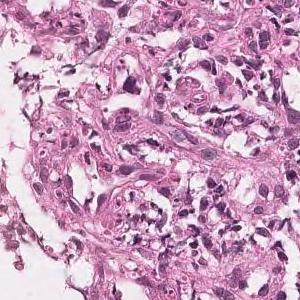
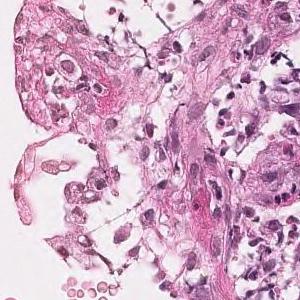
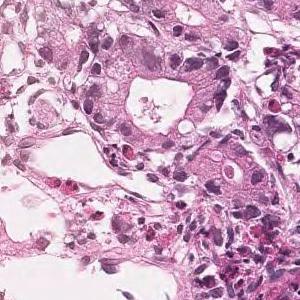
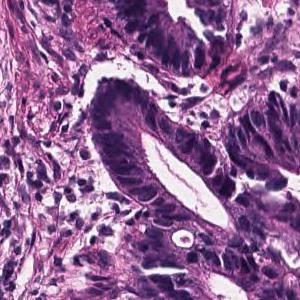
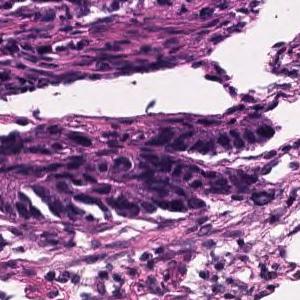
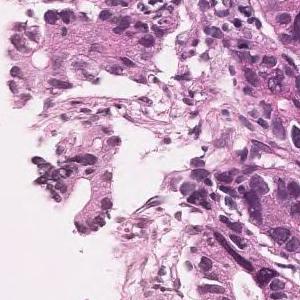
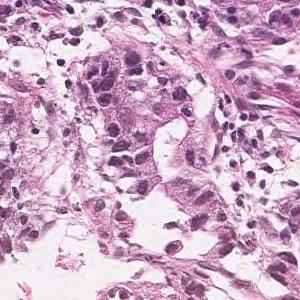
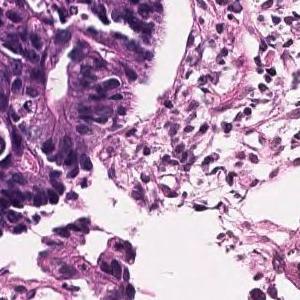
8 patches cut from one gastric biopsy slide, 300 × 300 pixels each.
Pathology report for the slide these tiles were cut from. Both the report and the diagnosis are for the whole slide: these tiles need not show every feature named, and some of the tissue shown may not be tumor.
In the superficial epithelium, tumor tissue is found in which medium-sized irregular gland ducts fuse with each other and infiltrate. moderately differentiated tubular adenocarcinoma
